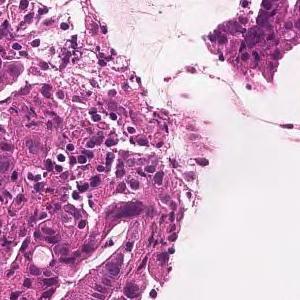
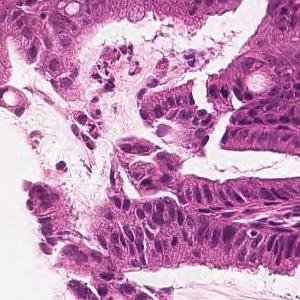
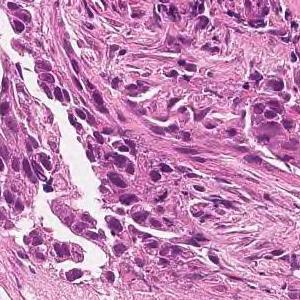
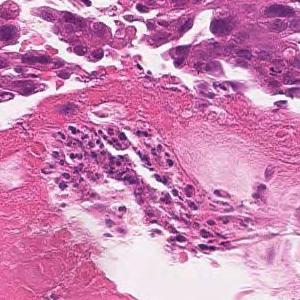
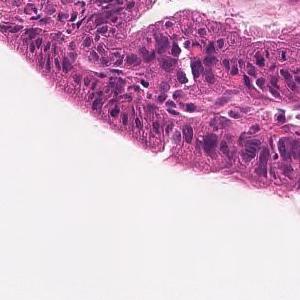
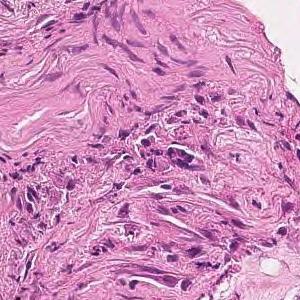
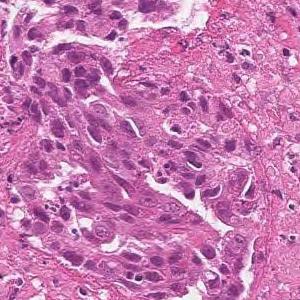
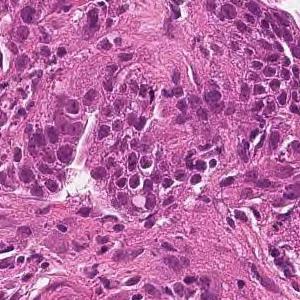
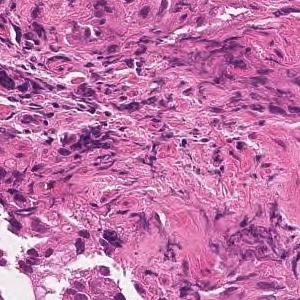
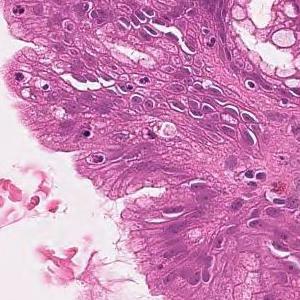
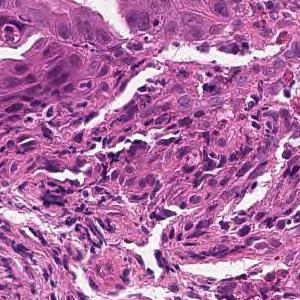
11 tiles from the same stomach biopsy slide; each 300 × 300 pixels; ×20; H&E stain.
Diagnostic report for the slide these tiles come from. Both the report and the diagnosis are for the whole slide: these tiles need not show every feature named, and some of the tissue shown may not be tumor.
Tumor tissue consisting of large papillary structures is found in the superficial epithelium. Papillary adenocarcinoma.
